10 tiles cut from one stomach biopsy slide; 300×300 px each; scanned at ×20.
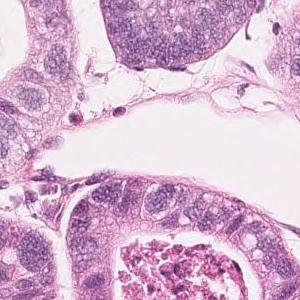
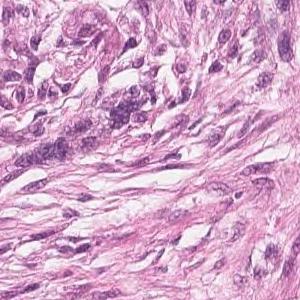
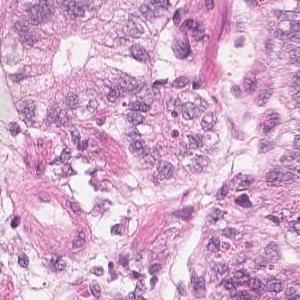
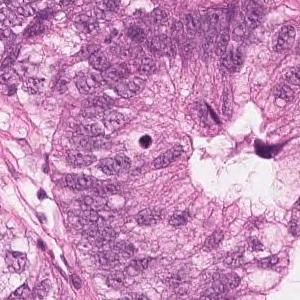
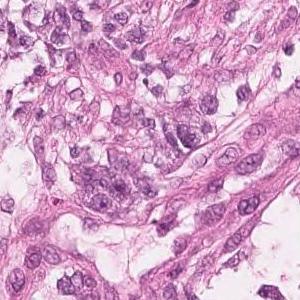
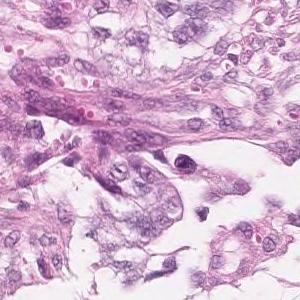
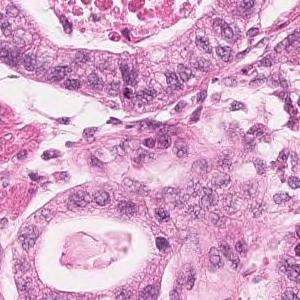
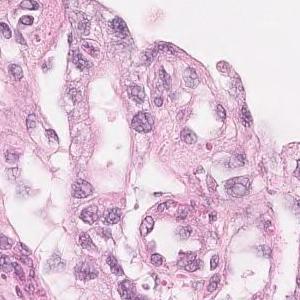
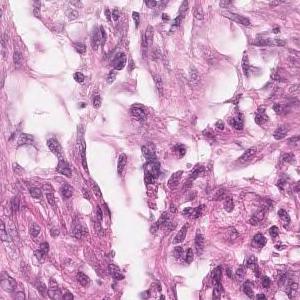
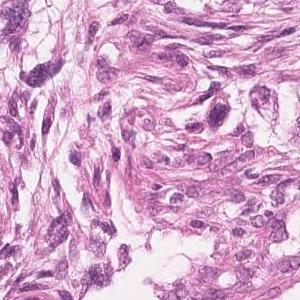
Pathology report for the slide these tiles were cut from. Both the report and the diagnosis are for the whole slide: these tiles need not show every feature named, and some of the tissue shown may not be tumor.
Highly columnar epithelium with disordered nuclear localization proliferates showing fusion ductal construction. moderately differentiated tubular adenocarcinoma
